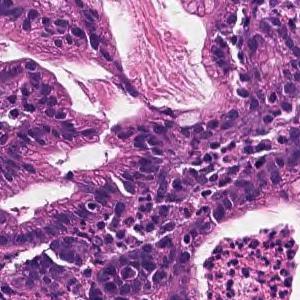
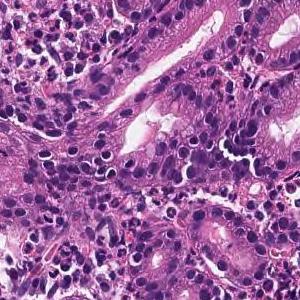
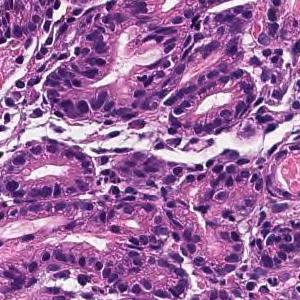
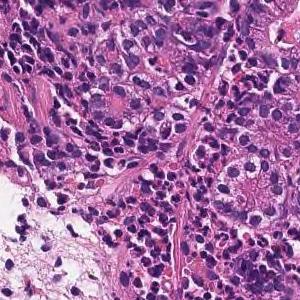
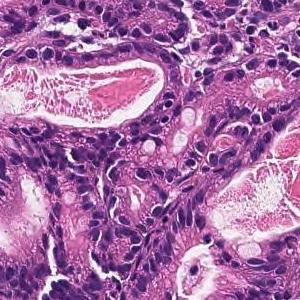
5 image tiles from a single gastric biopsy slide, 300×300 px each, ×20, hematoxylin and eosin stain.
Diagnostic report for the slide these tiles come from. The report describes the whole slide, diagnosis included: not every finding it names need appear in these tiles, which may also show non-tumor tissue.
Tumor tissue infiltrated and proliferated with small to medium-sized irregular tubules is observed in the superficial epithelium. Well differentiated tubular adenocarcinoma
